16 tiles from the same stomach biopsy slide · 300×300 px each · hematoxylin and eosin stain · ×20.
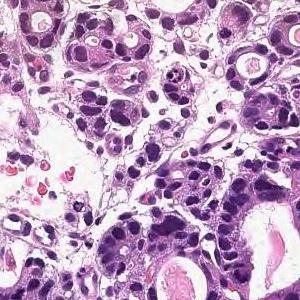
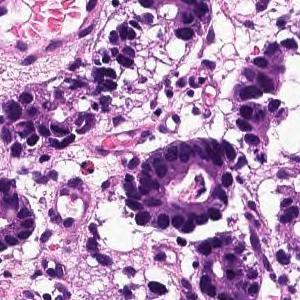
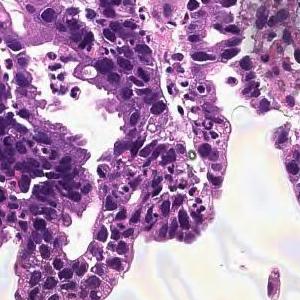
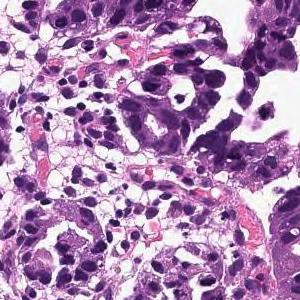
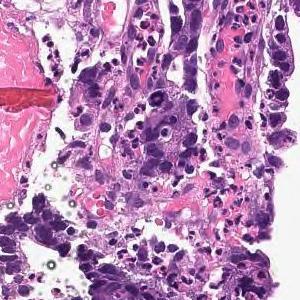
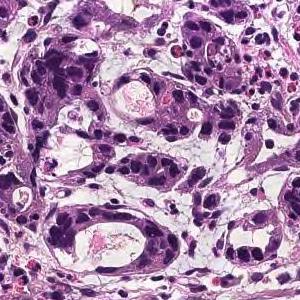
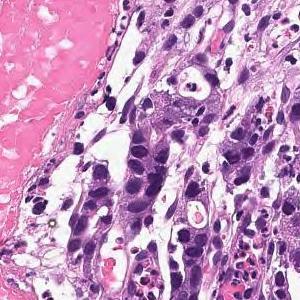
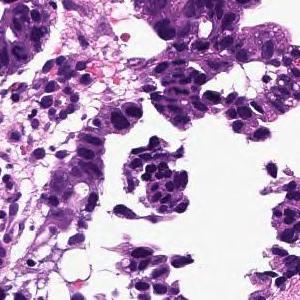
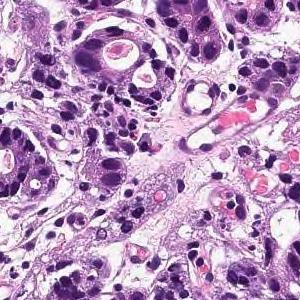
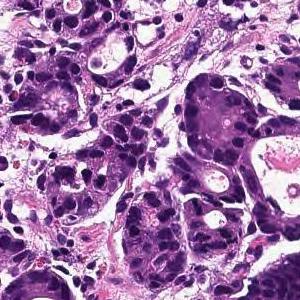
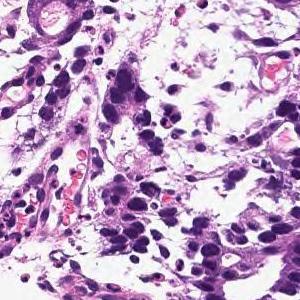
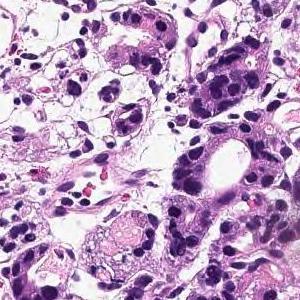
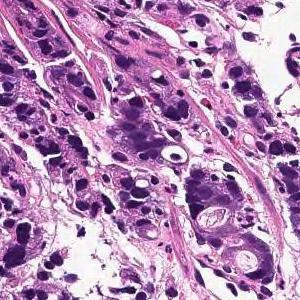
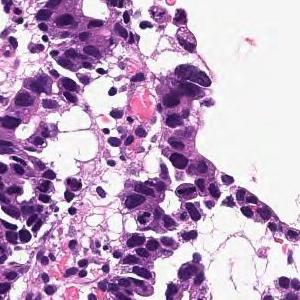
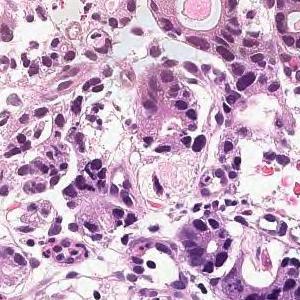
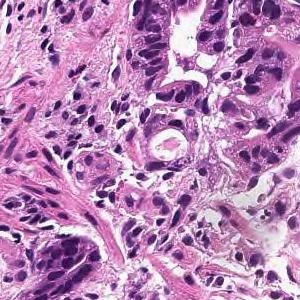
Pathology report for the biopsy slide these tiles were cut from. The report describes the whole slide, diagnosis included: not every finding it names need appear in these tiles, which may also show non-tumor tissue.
In the superficial epithelium, tumor tissue that invades by forming medium-sized to small, irregular ducts is observed. moderately differentiated tubular adenocarcinoma.
